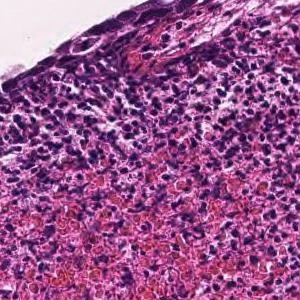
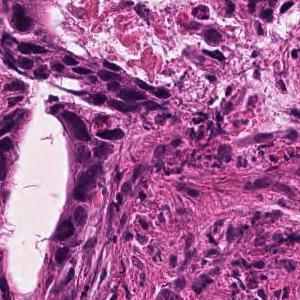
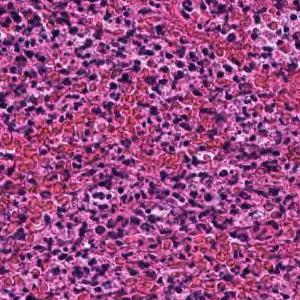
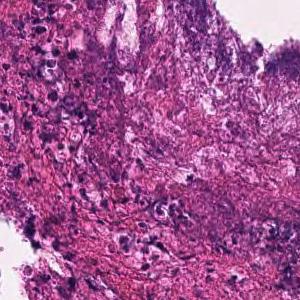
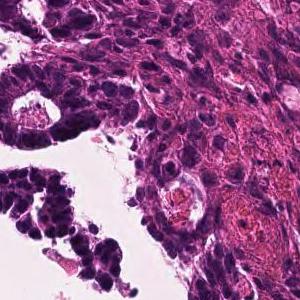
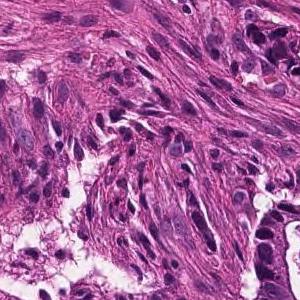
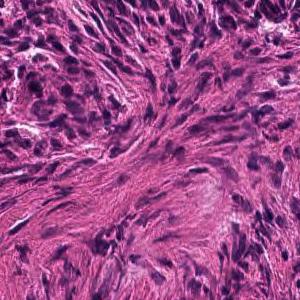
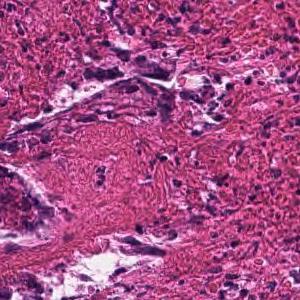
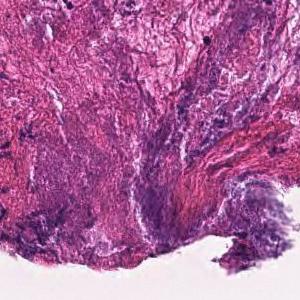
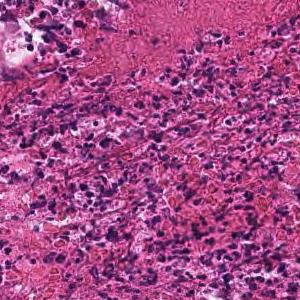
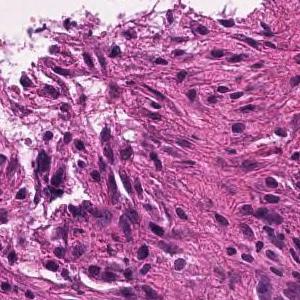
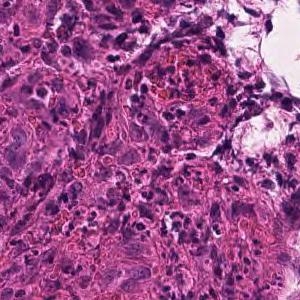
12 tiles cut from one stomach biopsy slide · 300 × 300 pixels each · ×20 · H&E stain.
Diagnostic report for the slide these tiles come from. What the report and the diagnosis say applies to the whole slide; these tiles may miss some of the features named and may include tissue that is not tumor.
In the superficial epithelium, tumor tissue that invades by forming medium-sized to small, irregular ducts is observed. moderately differentiated tubular adenocarcinoma.
